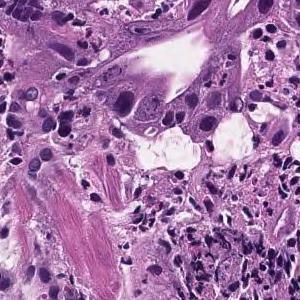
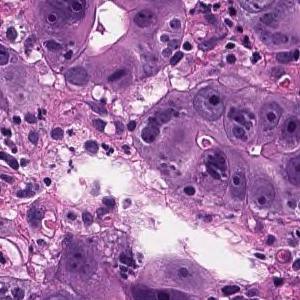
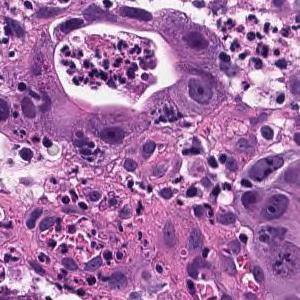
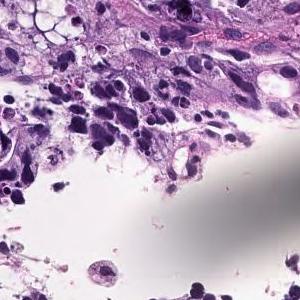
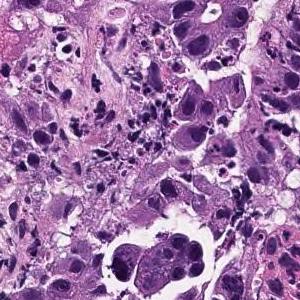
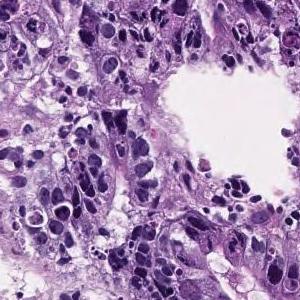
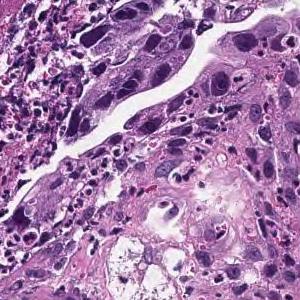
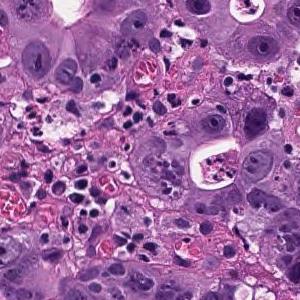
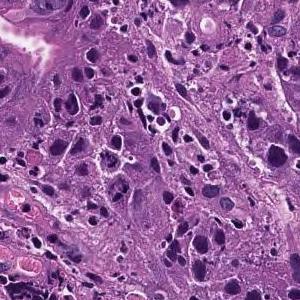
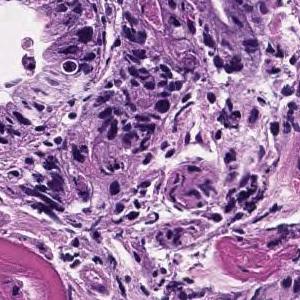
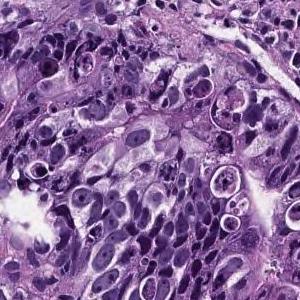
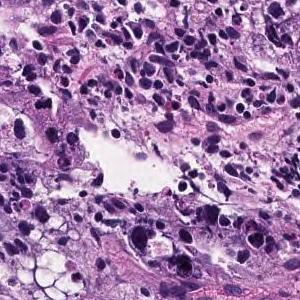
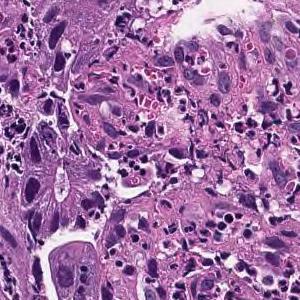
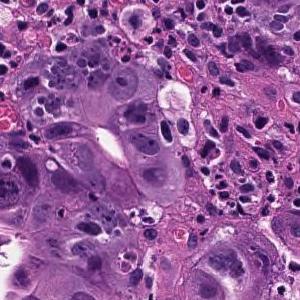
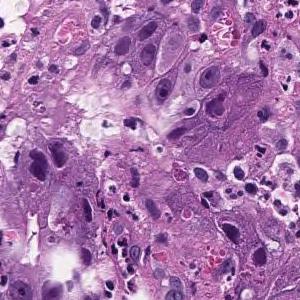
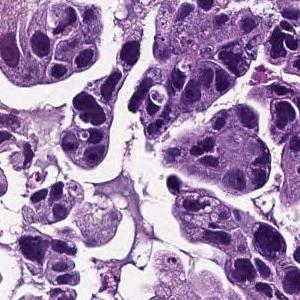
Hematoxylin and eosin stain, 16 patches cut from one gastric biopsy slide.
Pathology report for the slide these tiles were cut from. The report describes the whole slide, diagnosis included: not every finding it names need appear in these tiles, which may also show non-tumor tissue.
In the superficial epithelium, medium to small irregular gland ducts are formed, and in some cases, the ducts are fused to show solid alveolar lesions and infiltrating tumor tissue is observed. Moderately to poorly differentiated adenocarcinoma
